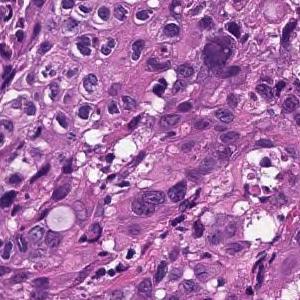
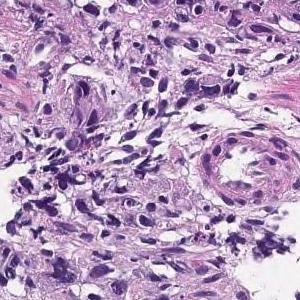
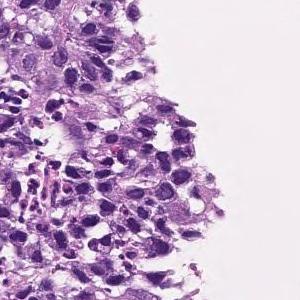
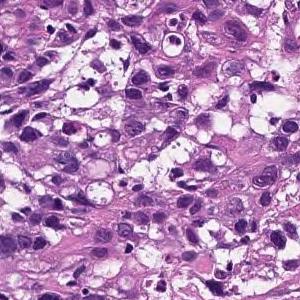
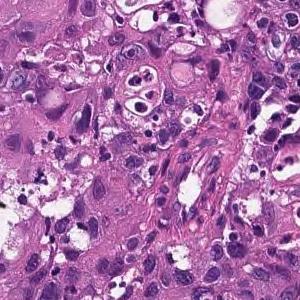
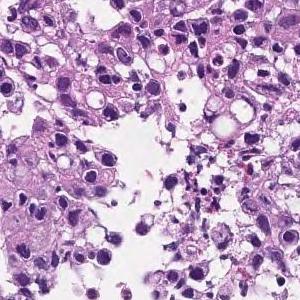
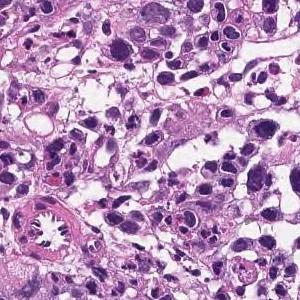
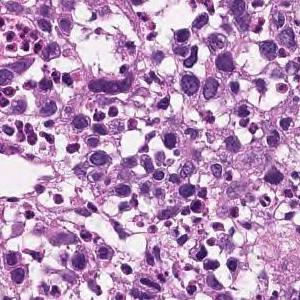
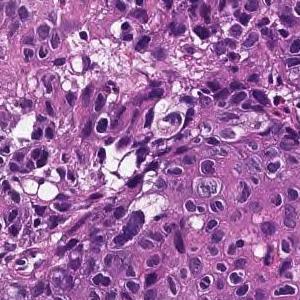
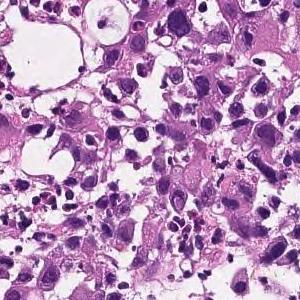
Scanned at ×20; hematoxylin and eosin stain; 10 tiles cut from one stomach biopsy slide.
Pathology report for the biopsy slide these tiles were cut from. The report describes the whole slide, diagnosis included: not every finding it names need appear in these tiles, which may also show non-tumor tissue.
The superficial epithelium shows a large sheet-like shape, and some tumor tissue infiltrates with small irregular ducts. Poorly differentiated adenocarcinoma, solid-type
Subtype: Poorly differentiated adenocarcinoma, solid type (Japanese Classification of Gastric Carcinoma). The WHO 2019 equivalent is tubular adenocarcinoma, poorly differentiated.
